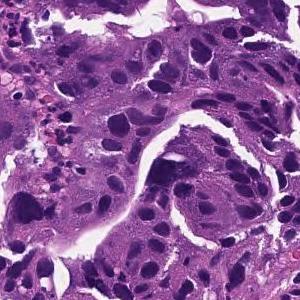
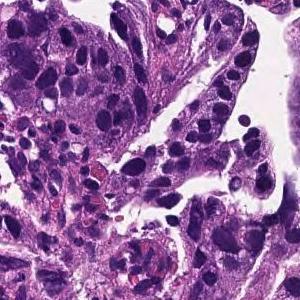
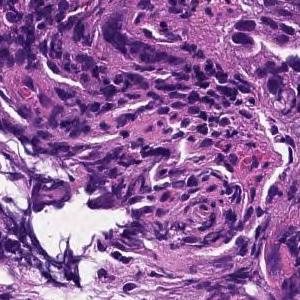
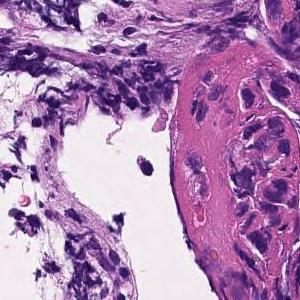
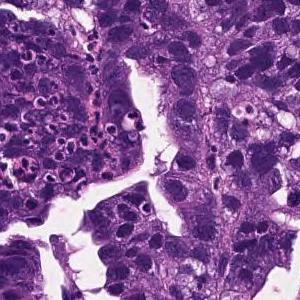
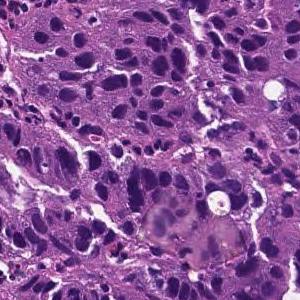
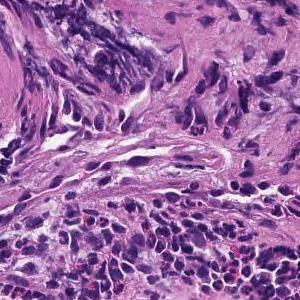
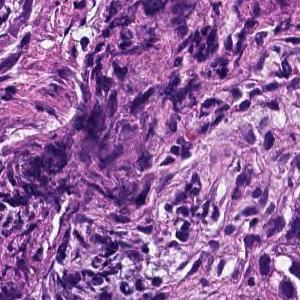
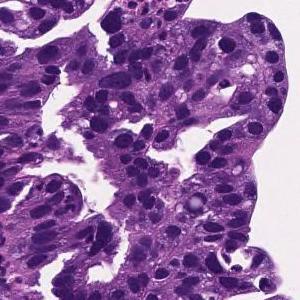
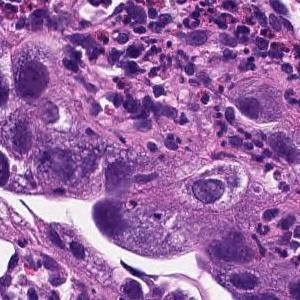
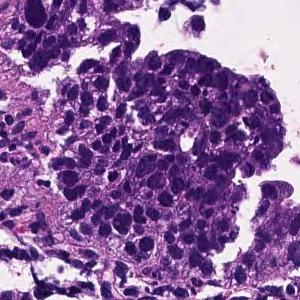
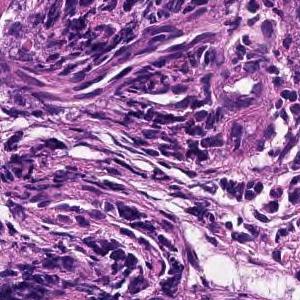
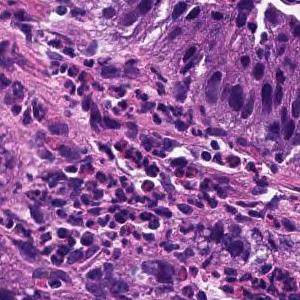
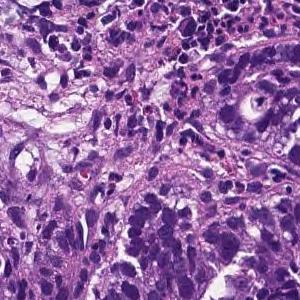
20× magnification, 14 image tiles from a single gastric biopsy slide, 300×300 px each.
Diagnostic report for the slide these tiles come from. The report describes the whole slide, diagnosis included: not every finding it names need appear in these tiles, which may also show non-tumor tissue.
Tumor tissue consisting of large papillary structures is found in the superficial epithelium. Papillary adenocarcinoma.
